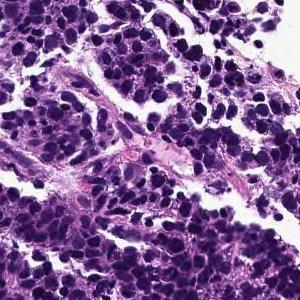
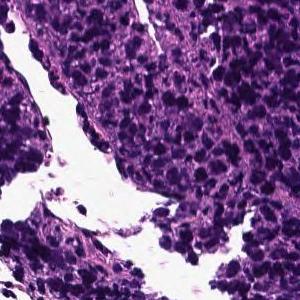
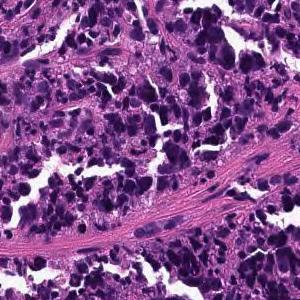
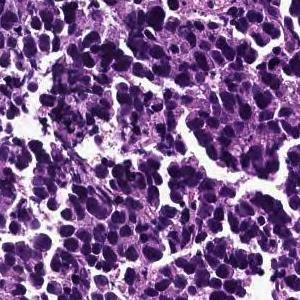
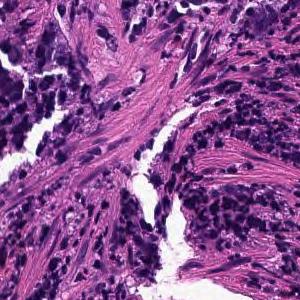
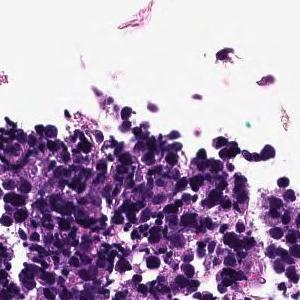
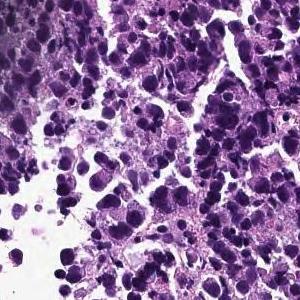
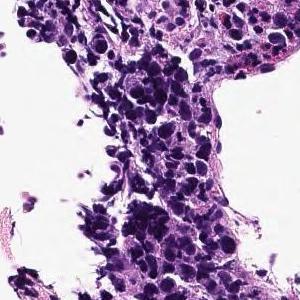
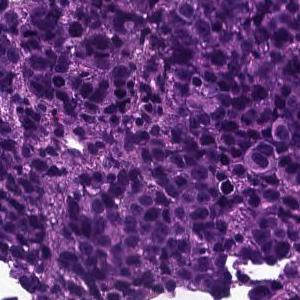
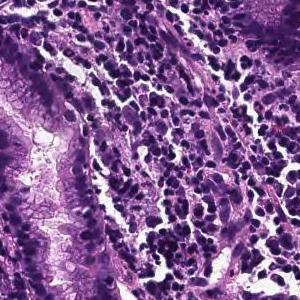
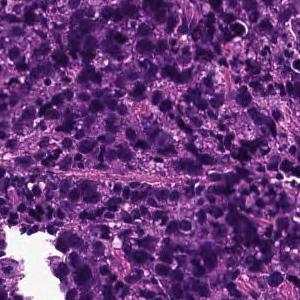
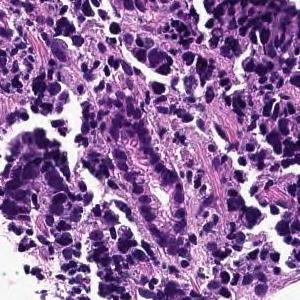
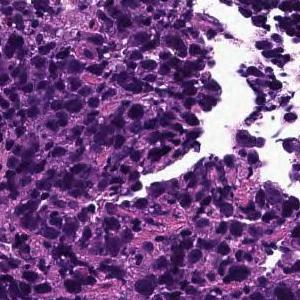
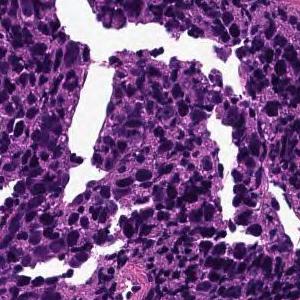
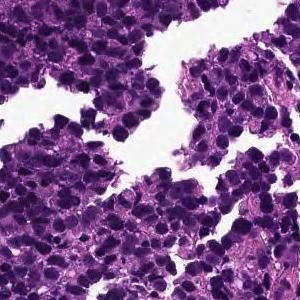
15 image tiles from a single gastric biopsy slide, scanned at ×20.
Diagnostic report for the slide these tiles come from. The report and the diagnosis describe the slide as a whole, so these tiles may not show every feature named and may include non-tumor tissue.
The superficial epithelium shows large alveolar or sheet-like forms, and some tumor tissue infiltrates with small irregular ducts. Poorly differentiated adenocarcinoma, solid-type
Histological subtype: Poorly differentiated adenocarcinoma, solid type (Japanese Classification of Gastric Carcinoma). The WHO 2019 equivalent is tubular adenocarcinoma, poorly differentiated.
